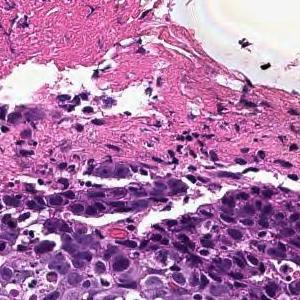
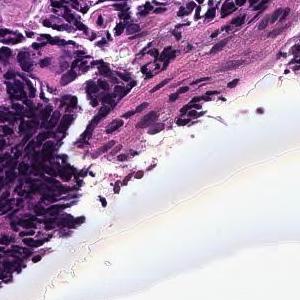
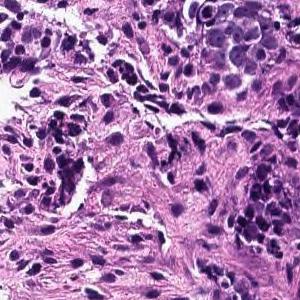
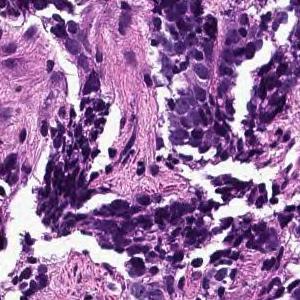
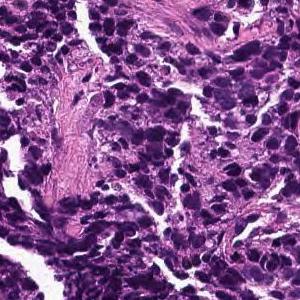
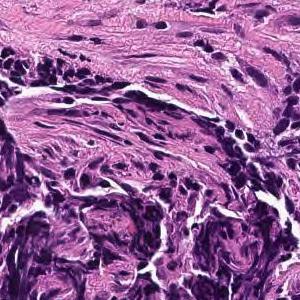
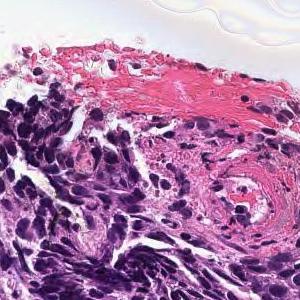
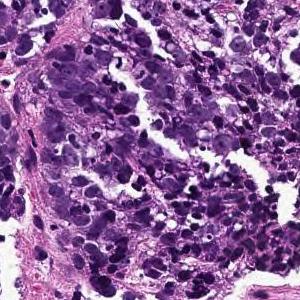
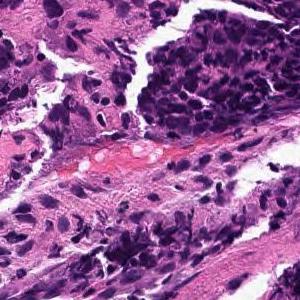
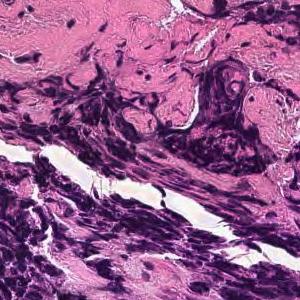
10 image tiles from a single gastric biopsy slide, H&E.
Pathology report for the biopsy slide these tiles were cut from. The report describes the whole slide, diagnosis included: not every finding it names need appear in these tiles, which may also show non-tumor tissue.
The superficial epithelium shows a large sheet or alveolar shape, and tumor tissue infiltrating without irregular ducts is observed. Poorly differentiated adenocarcinoma, solid-type
Classified as poorly differentiated adenocarcinoma, solid type (Japanese Classification of Gastric Carcinoma). The WHO 2019 equivalent is tubular adenocarcinoma, poorly differentiated.
